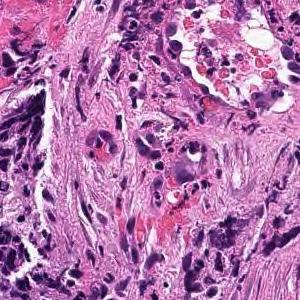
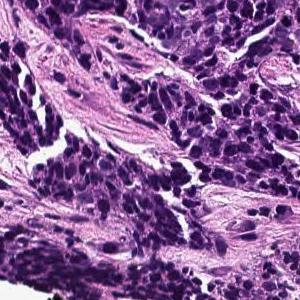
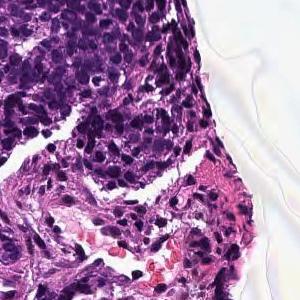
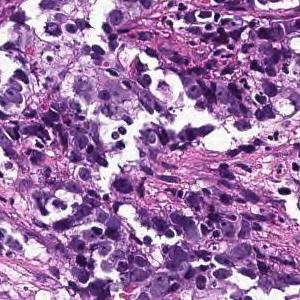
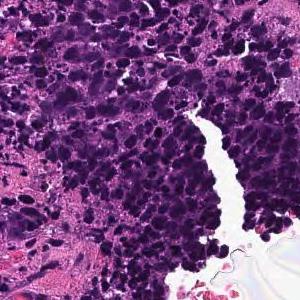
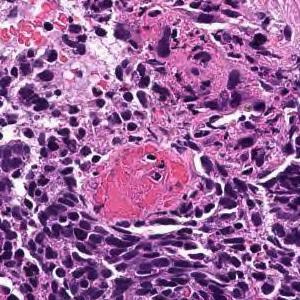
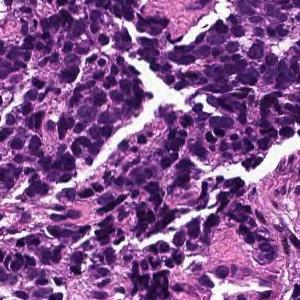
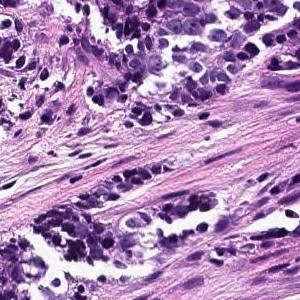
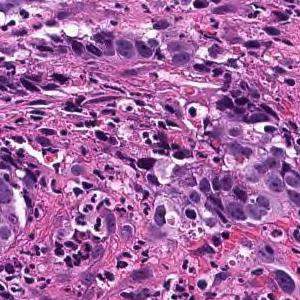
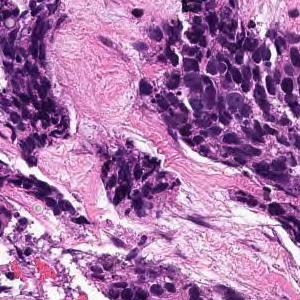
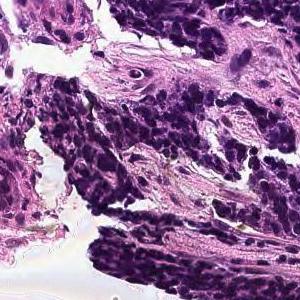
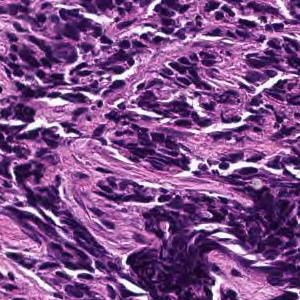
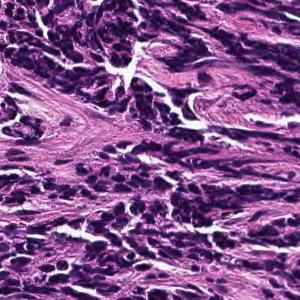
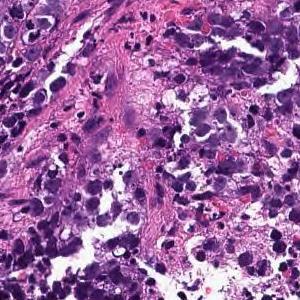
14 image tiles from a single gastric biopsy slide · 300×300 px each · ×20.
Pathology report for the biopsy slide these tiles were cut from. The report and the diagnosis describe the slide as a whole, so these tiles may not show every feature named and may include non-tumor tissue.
The superficial epithelium shows a large sheet or alveolar shape, and tumor tissue infiltrating without irregular ducts is observed. Poorly differentiated adenocarcinoma, solid-type
Histologic type: Poorly differentiated adenocarcinoma, solid type (Japanese Classification of Gastric Carcinoma). The WHO 2019 equivalent is tubular adenocarcinoma, poorly differentiated.
